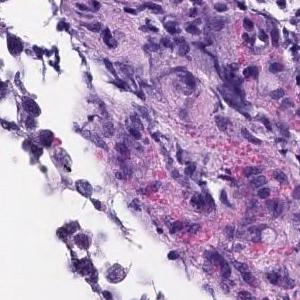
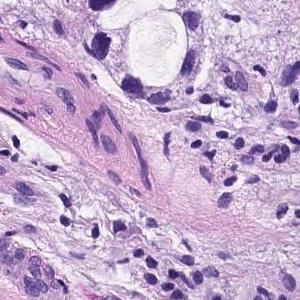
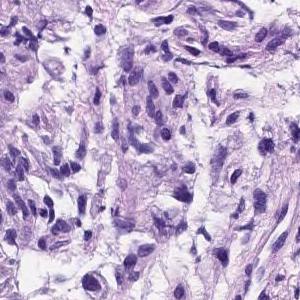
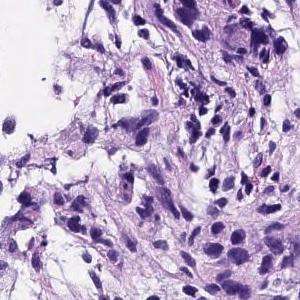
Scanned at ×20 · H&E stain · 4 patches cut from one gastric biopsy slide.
The pathologist's report on the biopsy slide these tiles were taken from. The report describes the whole slide, diagnosis included: not every finding it names need appear in these tiles, which may also show non-tumor tissue.
Medium to small, irregular glandular ducts are formed in the superficial epithelium, and in some cases, the glandular ducts are fused to show solid alveolar lesions and infiltrating tumor tissue is observed. Poorly differentiated adenocarcinoma, Moderately differentiated adenocarcinoma.
Dataset label: moderately differentiated tubular adenocarcinoma.
